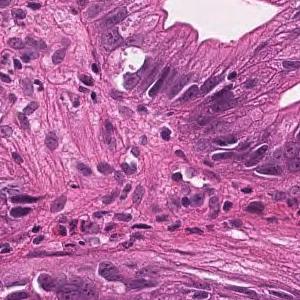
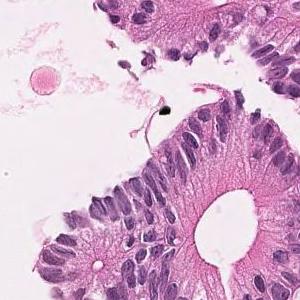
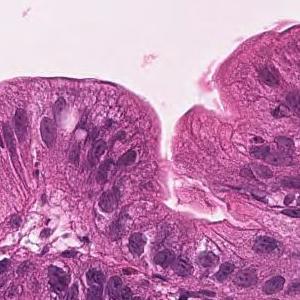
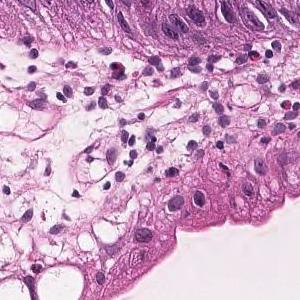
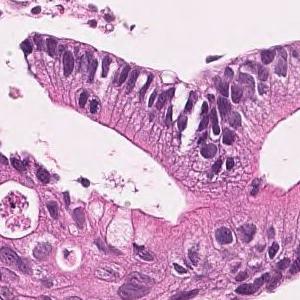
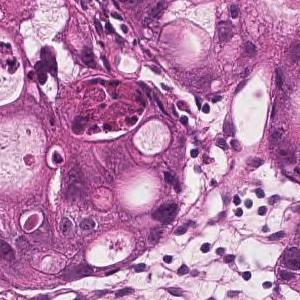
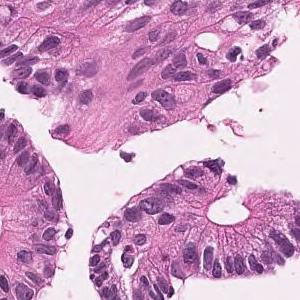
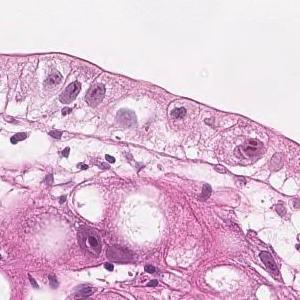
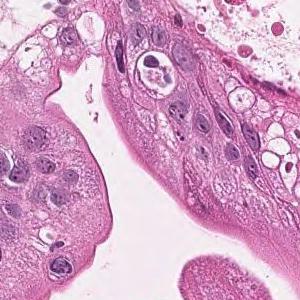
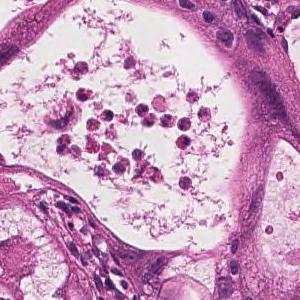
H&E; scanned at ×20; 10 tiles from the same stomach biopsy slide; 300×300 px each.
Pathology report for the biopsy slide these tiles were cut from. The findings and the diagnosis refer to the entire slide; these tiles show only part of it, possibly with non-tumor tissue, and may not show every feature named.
On the superficial epithelium, tumor tissue that infiltrates by forming medium-sized papillary or small irregular ducts is observed. Papillary adenocarcinoma
